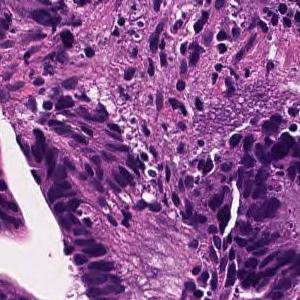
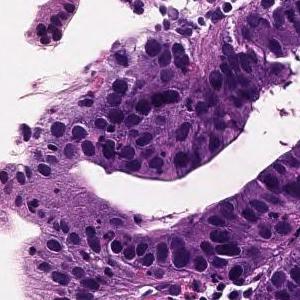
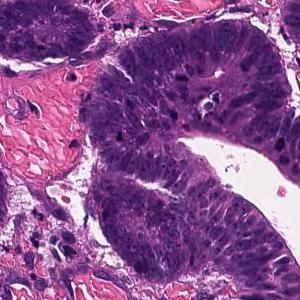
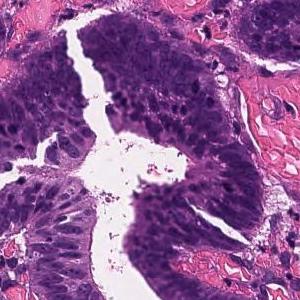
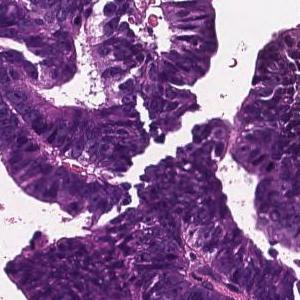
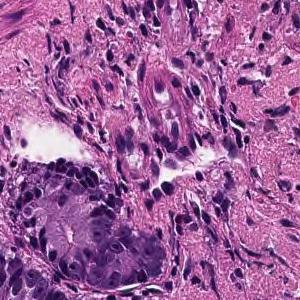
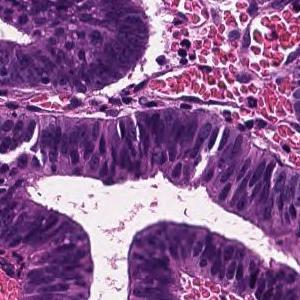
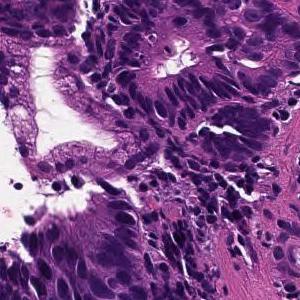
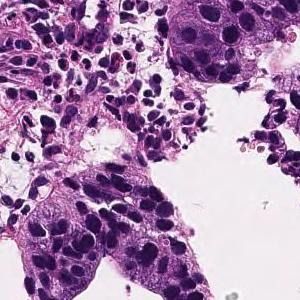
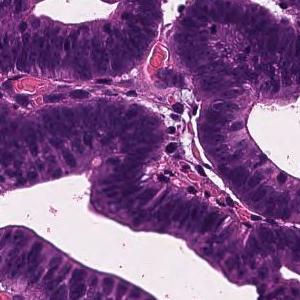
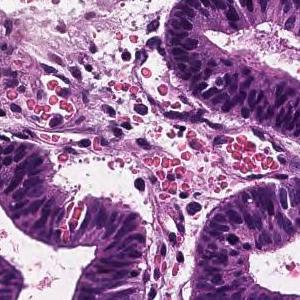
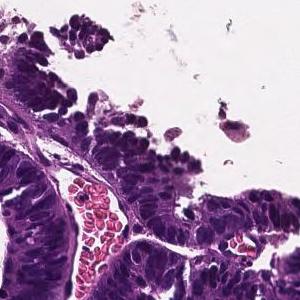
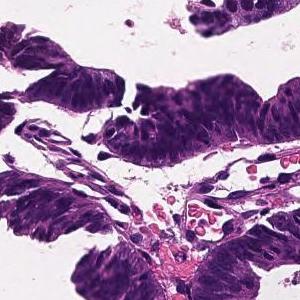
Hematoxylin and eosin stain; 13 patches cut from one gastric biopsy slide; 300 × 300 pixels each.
Pathology report for the biopsy slide these tiles were cut from. The report and the diagnosis cover the entire slide, so not every feature they name need be visible here, and some tissue shown may not be tumor.
Tumor tissue consisting of large papillary structures is found in the superficial epithelium. Papillary adenocarcinoma.
